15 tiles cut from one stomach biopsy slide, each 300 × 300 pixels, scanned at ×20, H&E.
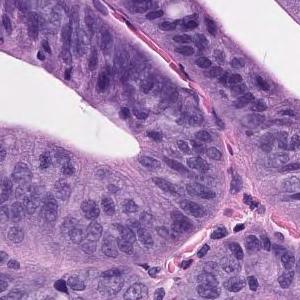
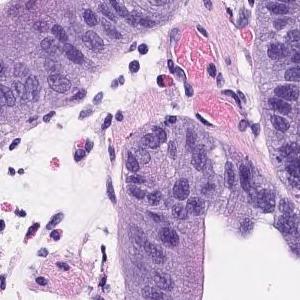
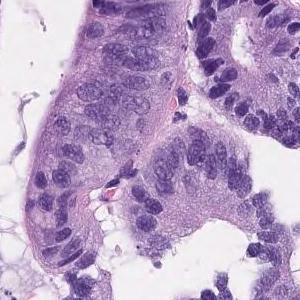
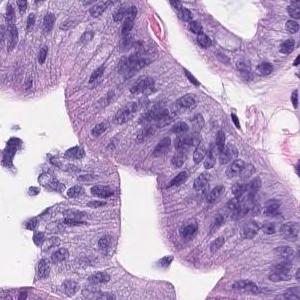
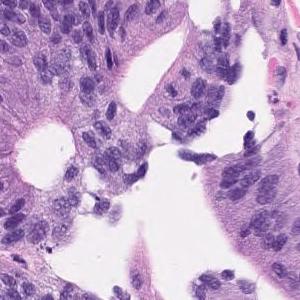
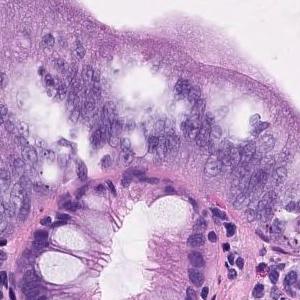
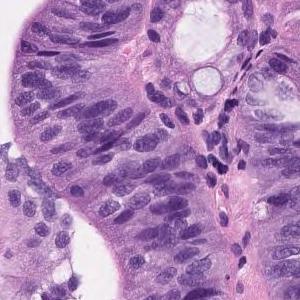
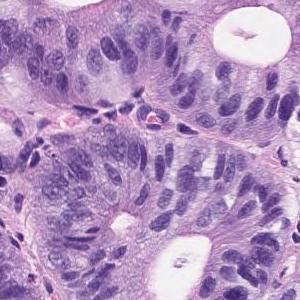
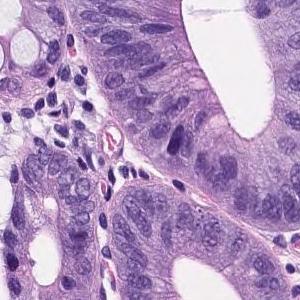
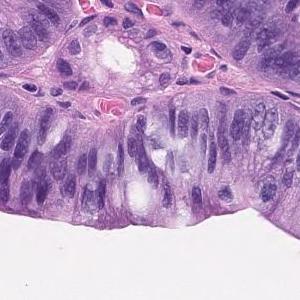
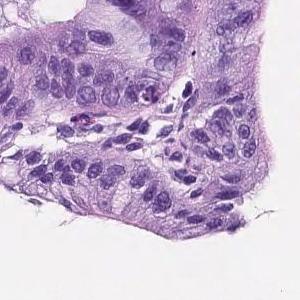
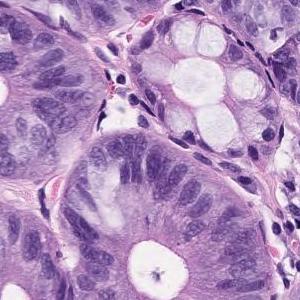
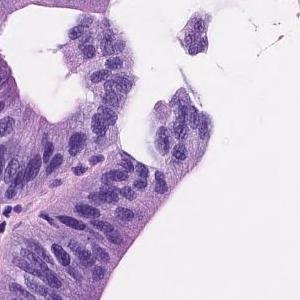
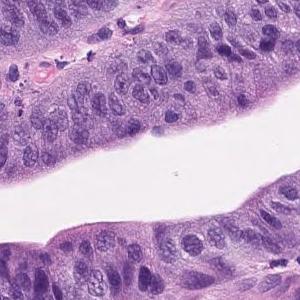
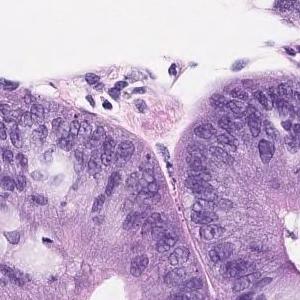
Diagnostic report for the slide these tiles come from. The report and the diagnosis cover the entire slide, so not every feature they name need be visible here, and some tissue shown may not be tumor.
On the superficial epithelium, tumor tissue consisting of images of atypical ducts of different sizes partially fused and densely proliferating is observed. Well differentiated tubular adenocarcinoma
